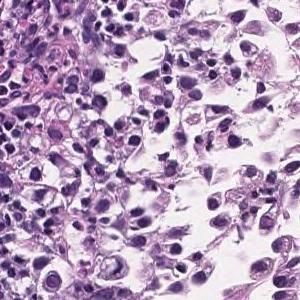
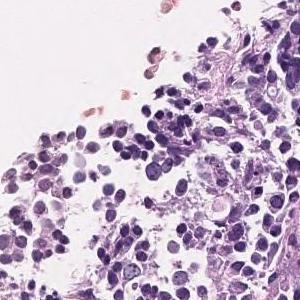
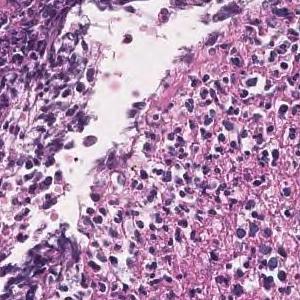
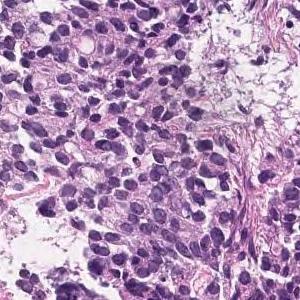
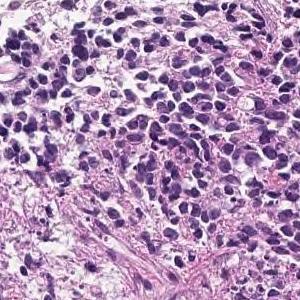
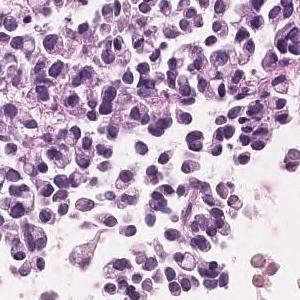
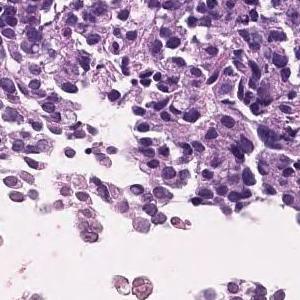
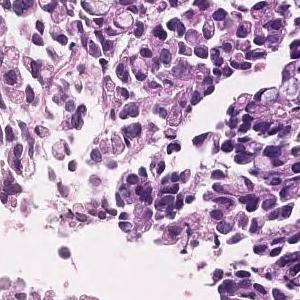
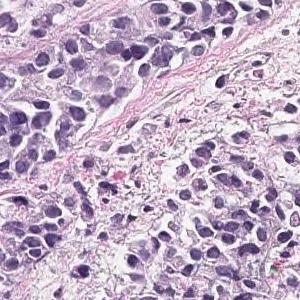
9 tiles cut from one stomach biopsy slide · 300×300 px each · H&E stain.
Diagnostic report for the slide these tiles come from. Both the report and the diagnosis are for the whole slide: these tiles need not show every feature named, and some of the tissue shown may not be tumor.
The superficial epithelium shows a large sheet-like shape, and some tumor tissue infiltrates with small irregular ducts. Poorly differentiated adenocarcinoma, solid-type
Classified as poorly differentiated adenocarcinoma, solid type (Japanese Classification of Gastric Carcinoma). The WHO 2019 equivalent is tubular adenocarcinoma, poorly differentiated.
